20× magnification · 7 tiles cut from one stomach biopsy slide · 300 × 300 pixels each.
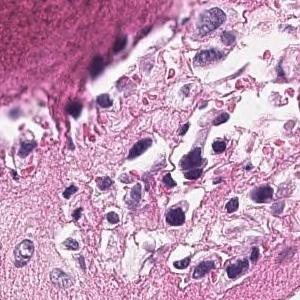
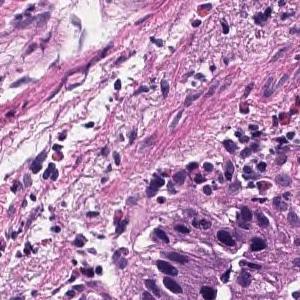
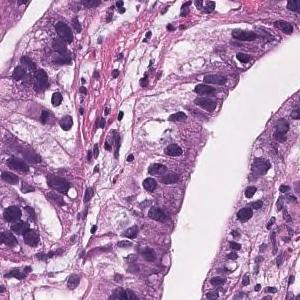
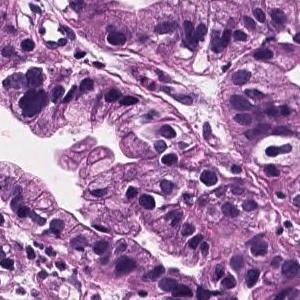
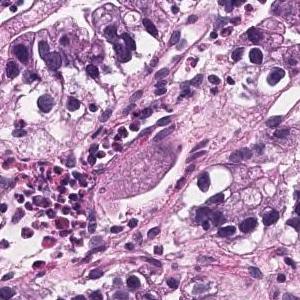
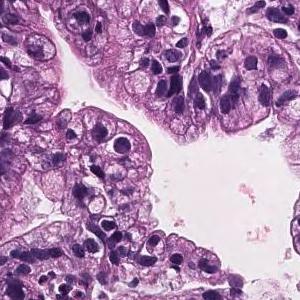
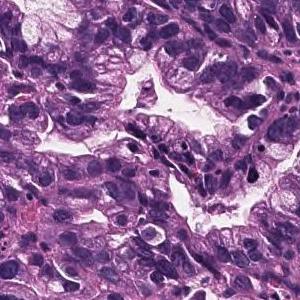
The pathologist's report on the biopsy slide these tiles were taken from. Both the report and the diagnosis are for the whole slide: these tiles need not show every feature named, and some of the tissue shown may not be tumor.
Tumor cells are large, highly columnar, large club-shaped nuclei, and are associated with chromatin aggregation. Papillary adenocarcinoma.
